13 tiles from the same stomach biopsy slide; scanned at ×20; H&E stain.
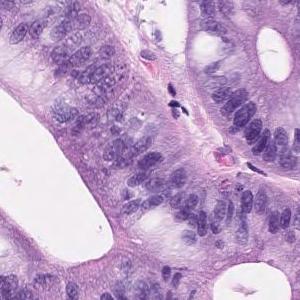
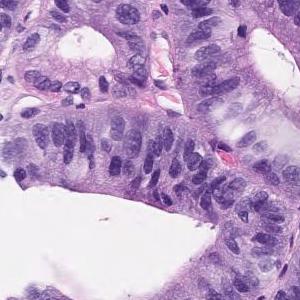
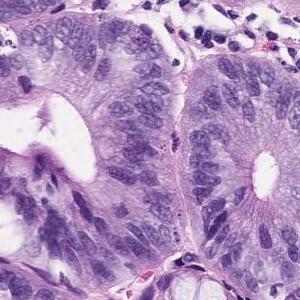
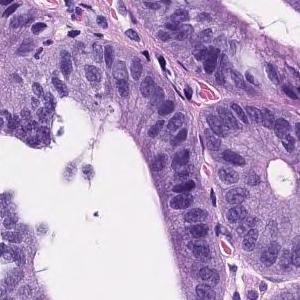
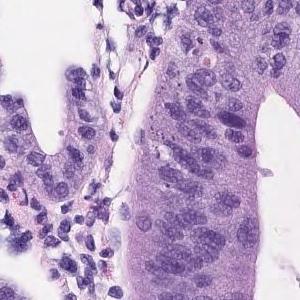
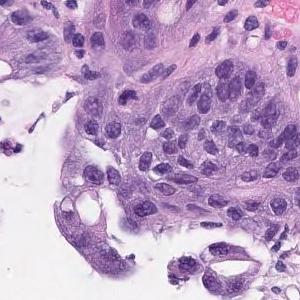
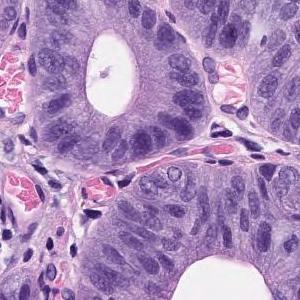
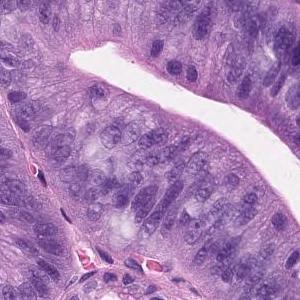
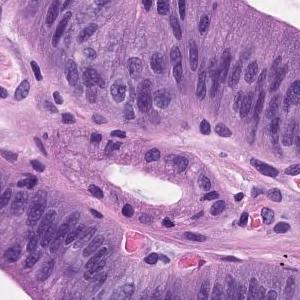
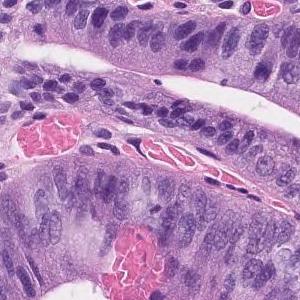
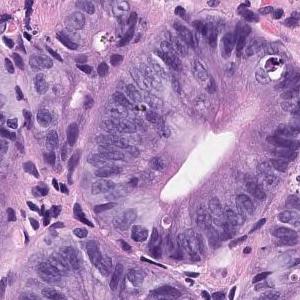
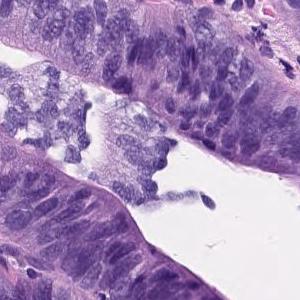
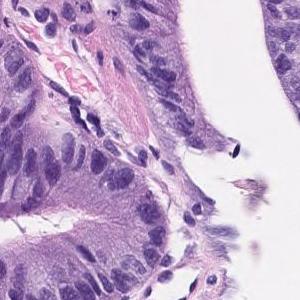
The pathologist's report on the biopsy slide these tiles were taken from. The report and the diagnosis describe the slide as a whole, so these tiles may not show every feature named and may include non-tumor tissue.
On the superficial epithelium, tumor tissue consisting of images of atypical ducts of different sizes partially fused and densely proliferating is observed. Well differentiated tubular adenocarcinoma
